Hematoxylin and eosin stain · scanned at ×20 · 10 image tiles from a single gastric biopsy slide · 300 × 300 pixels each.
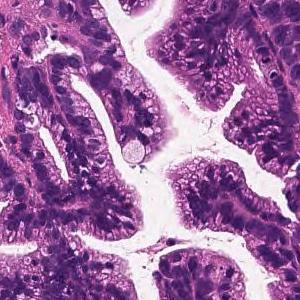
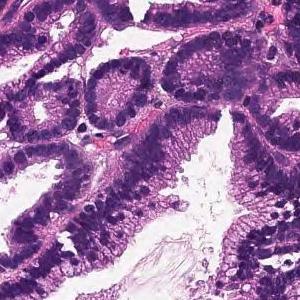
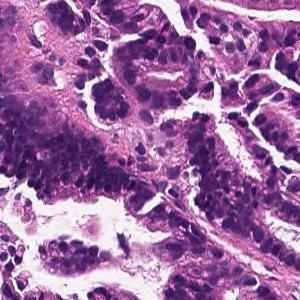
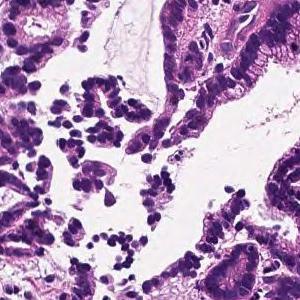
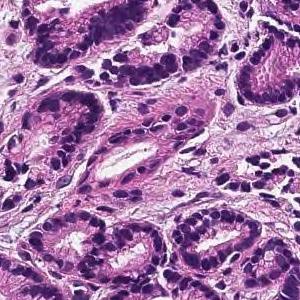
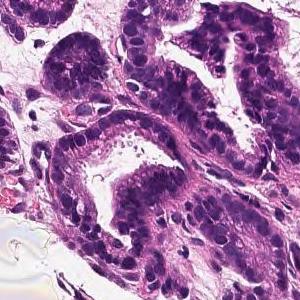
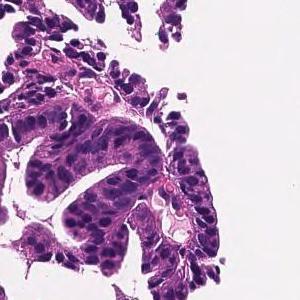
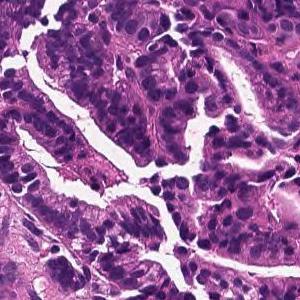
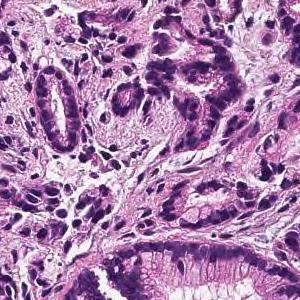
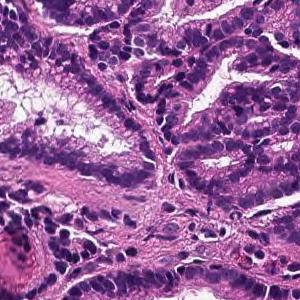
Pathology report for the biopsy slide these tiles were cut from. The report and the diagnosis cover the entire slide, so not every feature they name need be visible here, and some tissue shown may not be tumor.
On the superficial epithelium, tumor tissue consisting of large irregular glandular ducts partially fused and infiltrated is observed. Well to moderately differentiated tubular adenocarcinoma (well differentiated tubular adenocarcinoma, moderately differentiated tubular adenocarcinoma)
Tumor subtype: well to moderately differentiated tubular adenocarcinoma.
